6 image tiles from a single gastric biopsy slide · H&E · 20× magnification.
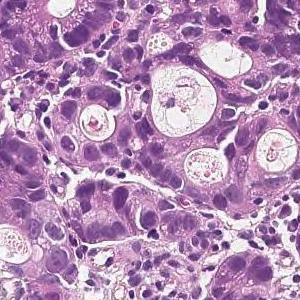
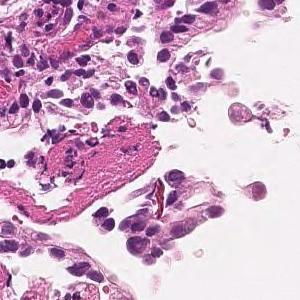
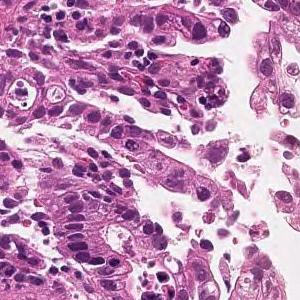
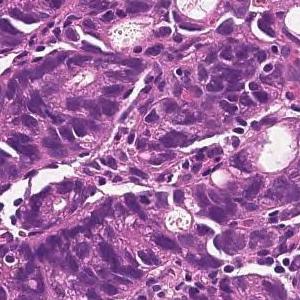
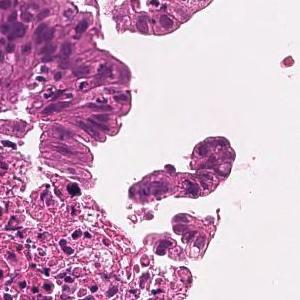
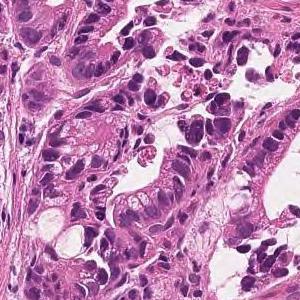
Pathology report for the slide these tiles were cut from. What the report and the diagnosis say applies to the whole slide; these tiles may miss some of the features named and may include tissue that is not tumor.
On the superficial epithelium, tumor tissue is found in which medium-sized irregular gland ducts fuse with each other and infiltrate. moderately differentiated tubular adenocarcinoma
